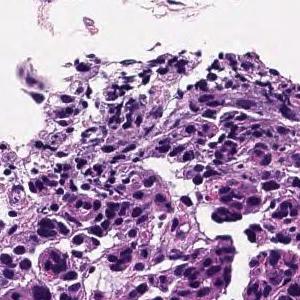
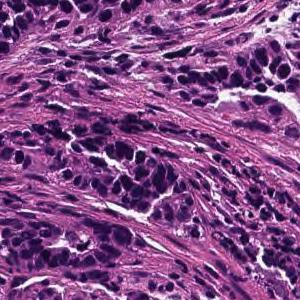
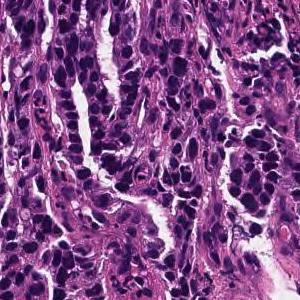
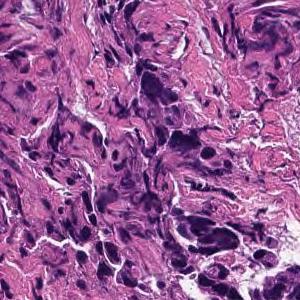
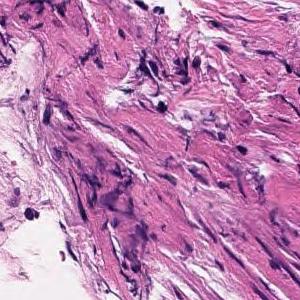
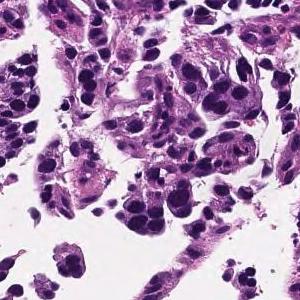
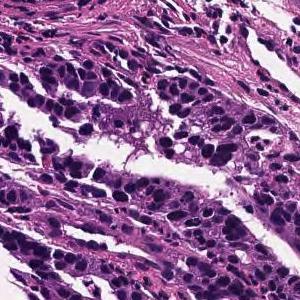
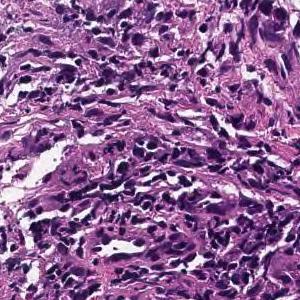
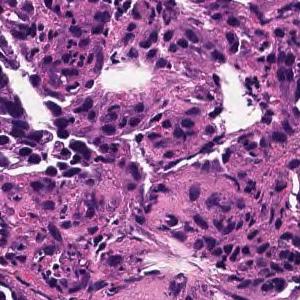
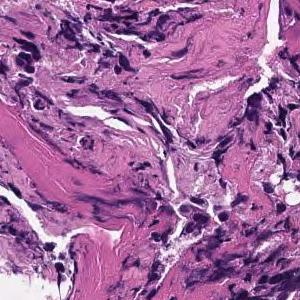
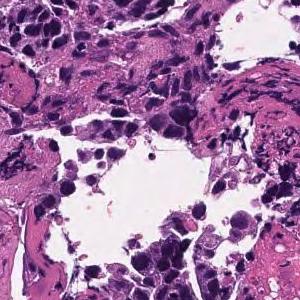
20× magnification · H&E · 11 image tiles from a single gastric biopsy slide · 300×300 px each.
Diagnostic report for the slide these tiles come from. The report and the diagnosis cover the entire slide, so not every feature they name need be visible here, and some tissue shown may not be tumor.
In the superficial epithelium, tumor tissue that invades by forming medium-sized to small, irregular ducts is observed. moderately differentiated tubular adenocarcinoma.
